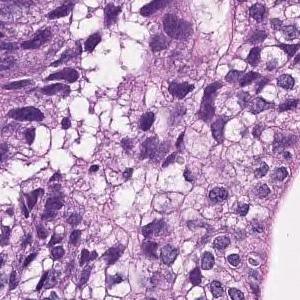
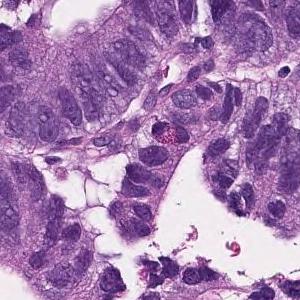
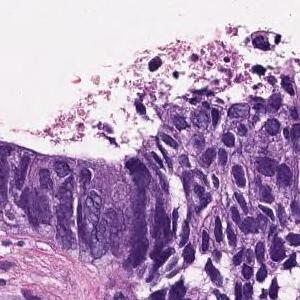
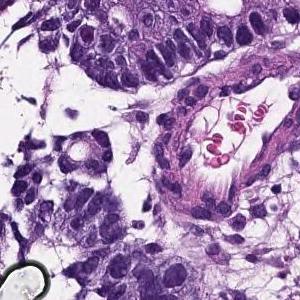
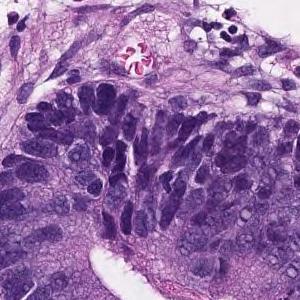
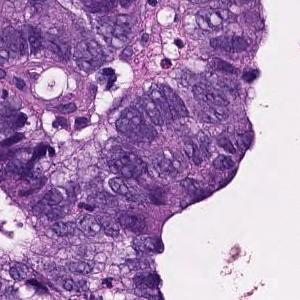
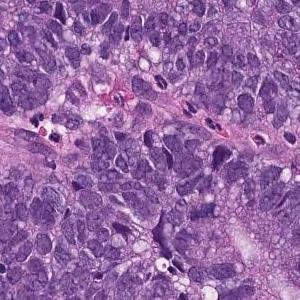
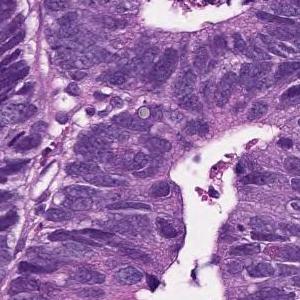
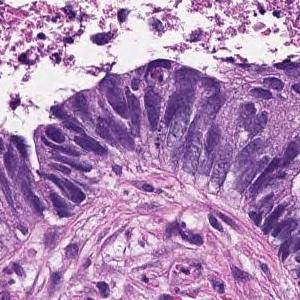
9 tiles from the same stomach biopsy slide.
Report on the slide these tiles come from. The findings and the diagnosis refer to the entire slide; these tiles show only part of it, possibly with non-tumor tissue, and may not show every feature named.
In the superficial epithelium, tumor tissue that invades by forming medium-sized to small, irregular ducts is observed. moderately differentiated tubular adenocarcinoma.
